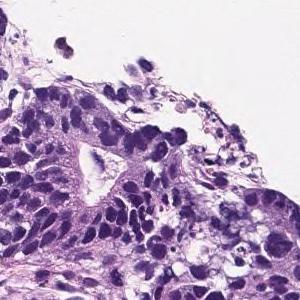
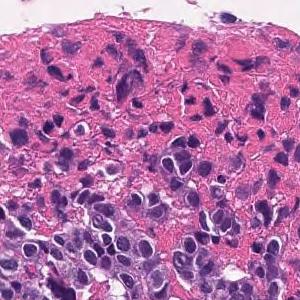
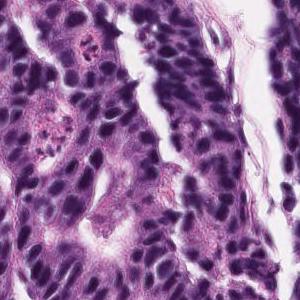
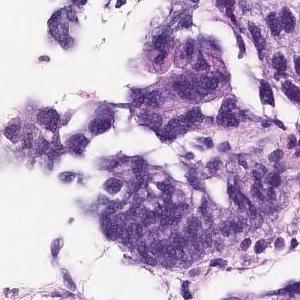
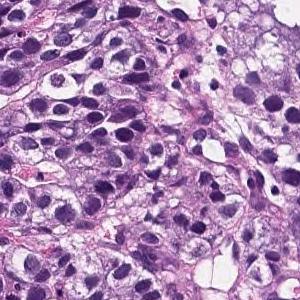
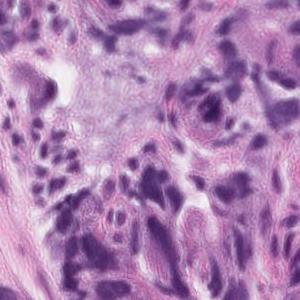
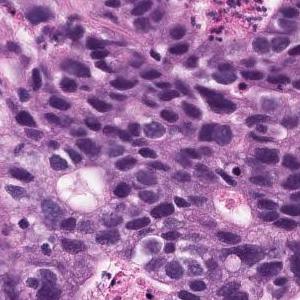
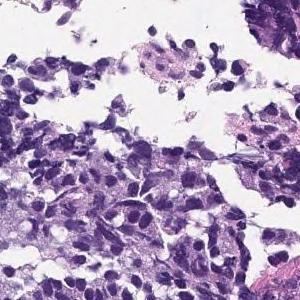
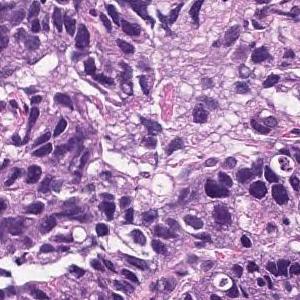
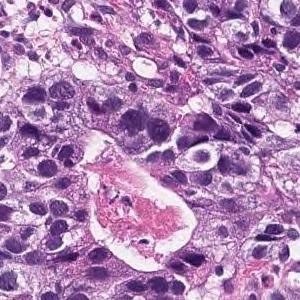
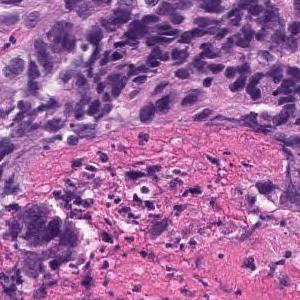
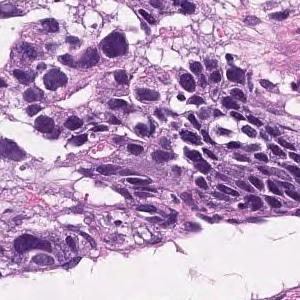
Scanned at ×20; H&E stain; 12 patches cut from one gastric biopsy slide; 300 × 300 pixels each.
Diagnostic report for the slide these tiles come from. What the report and the diagnosis say applies to the whole slide; these tiles may miss some of the features named and may include tissue that is not tumor.
Medium to small, irregular glandular ducts are formed in the superficial epithelium, and in some cases, the glandular ducts are fused to show solid alveolar lesions and infiltrating tumor tissue is observed. Moderately to poorly differentiated adenocarcinoma.
